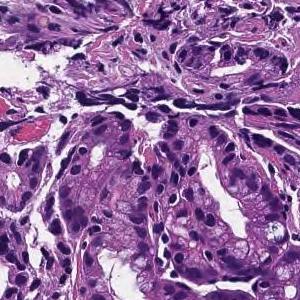
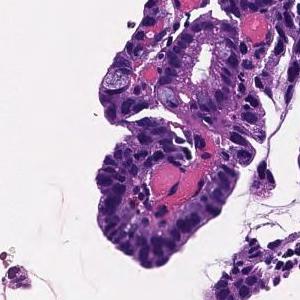
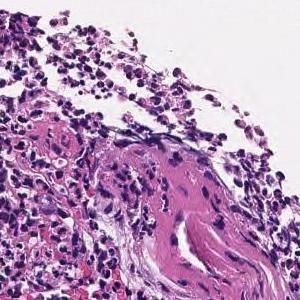
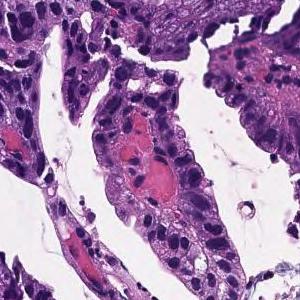
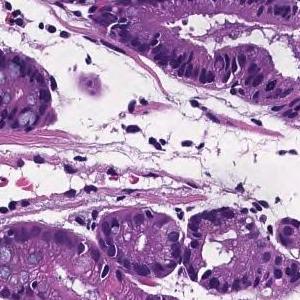
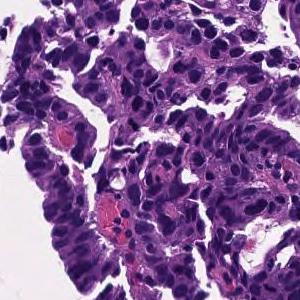
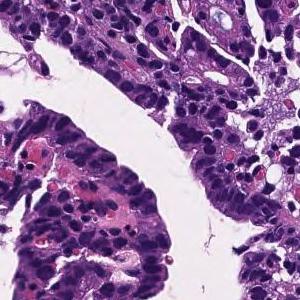
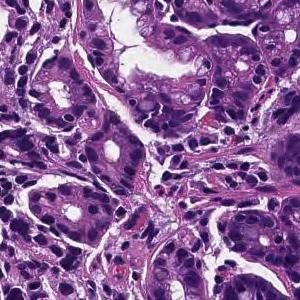
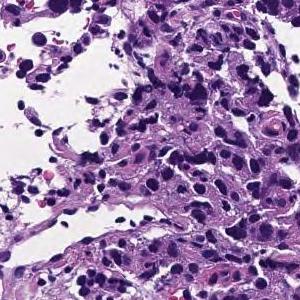
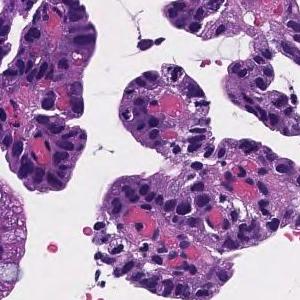
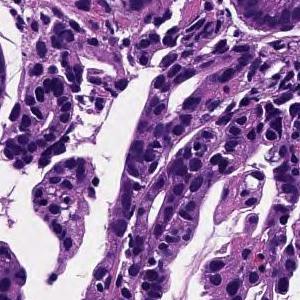
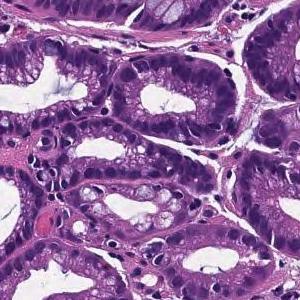
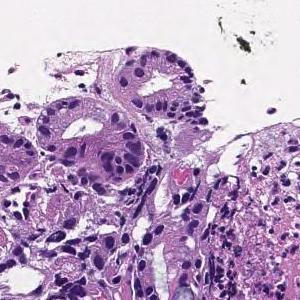
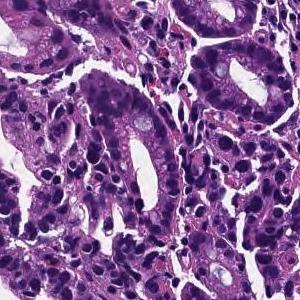
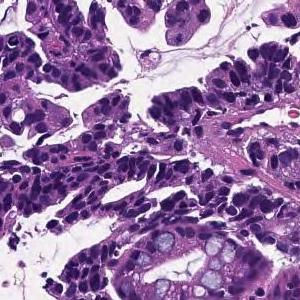
15 tiles from the same stomach biopsy slide; ×20; H&E stain.
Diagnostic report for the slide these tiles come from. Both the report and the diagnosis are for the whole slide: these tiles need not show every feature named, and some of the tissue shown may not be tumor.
Tumor cells are large, highly columnar, large club-shaped nuclei, and are associated with chromatin aggregation. Papillary adenocarcinoma.
